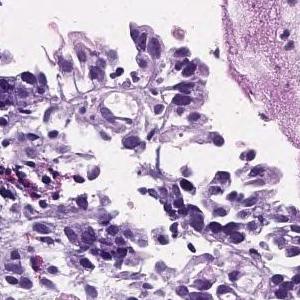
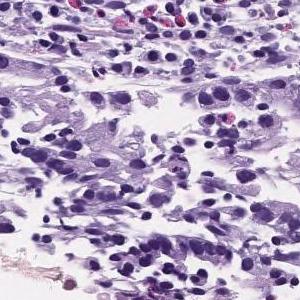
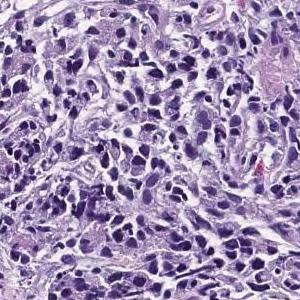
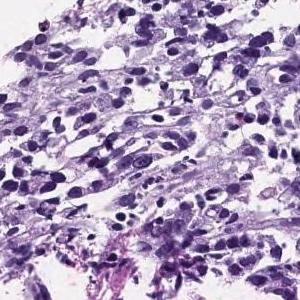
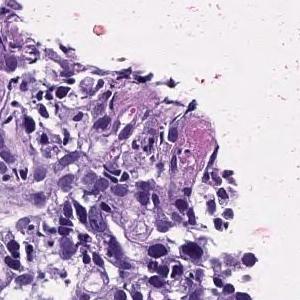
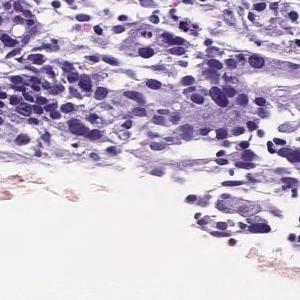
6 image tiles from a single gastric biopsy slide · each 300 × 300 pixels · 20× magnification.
The pathologist's report on the biopsy slide these tiles were taken from. The report and the diagnosis cover the entire slide, so not every feature they name need be visible here, and some tissue shown may not be tumor.
Tumor tissue consisting of medium-sized, cord-like or irregular glandular infiltration is observed in the superficial epithelium. Poorly differentiated adenocarcinoma, non-solid type or moderately differentiated tubular adenocarcinoma
Classified as moderately to poorly differentiated adenocarcinoma.
The term "non-solid type" comes from the Japanese Classification of Gastric Carcinoma.
